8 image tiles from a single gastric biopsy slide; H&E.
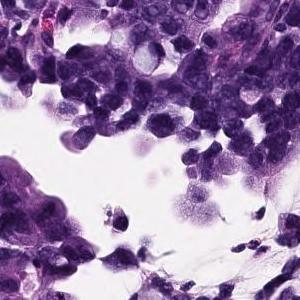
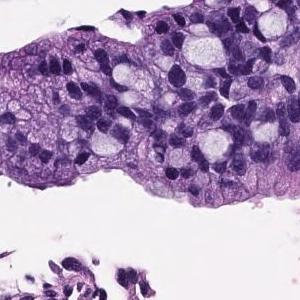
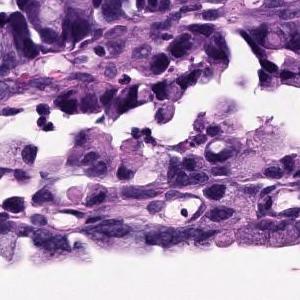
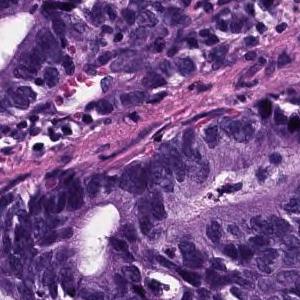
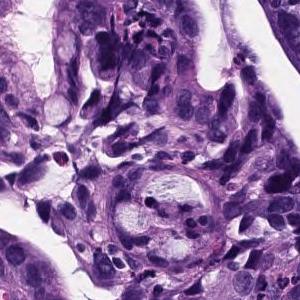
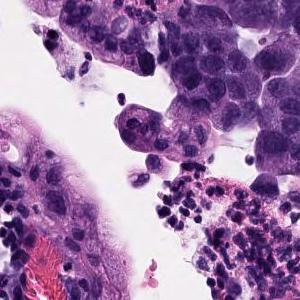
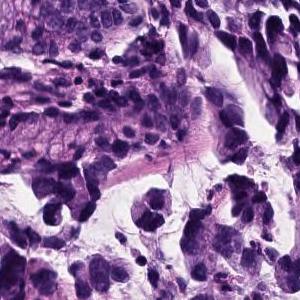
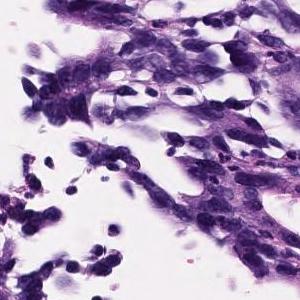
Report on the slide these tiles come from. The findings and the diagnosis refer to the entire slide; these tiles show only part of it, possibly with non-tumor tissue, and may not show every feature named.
Atypical epithelium proliferating showing villus construction and irregular gland duct construction is observed. Moderately differentiated tubular adenocarcinoma.
